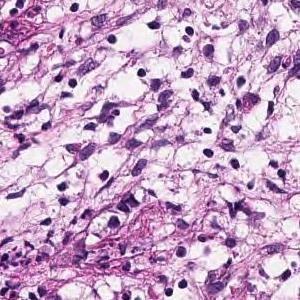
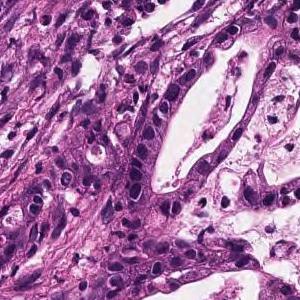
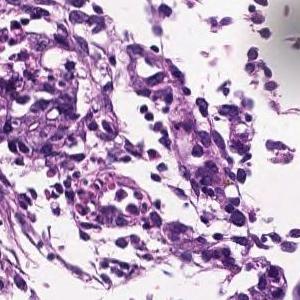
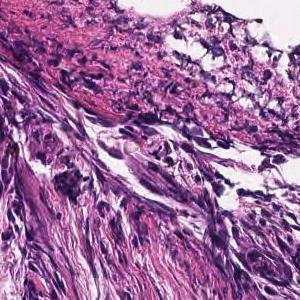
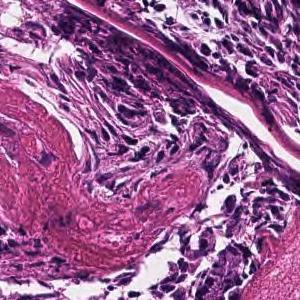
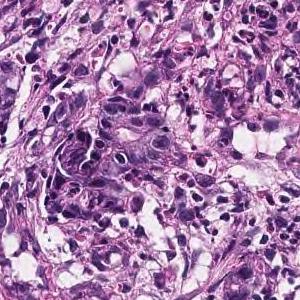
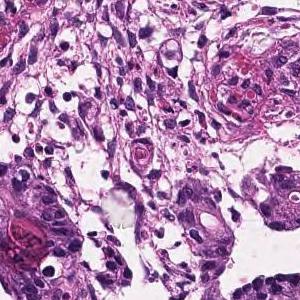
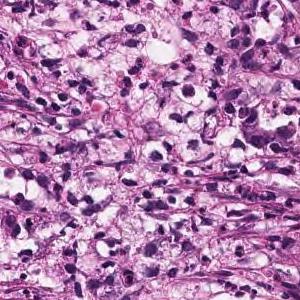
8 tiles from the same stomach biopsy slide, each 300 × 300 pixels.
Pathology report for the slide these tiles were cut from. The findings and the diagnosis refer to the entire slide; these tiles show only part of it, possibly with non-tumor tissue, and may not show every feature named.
In the superficial epithelium, medium to small, irregular gland ducts are formed, and in some cases, the gland ducts are fused to show solid alveolar lesions and infiltrating tumor tissue is observed. Moderately to poorly differentiated adenocarcinoma.
